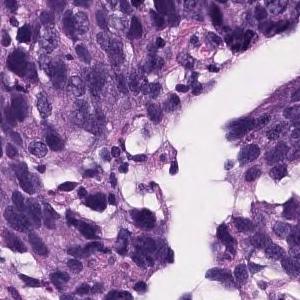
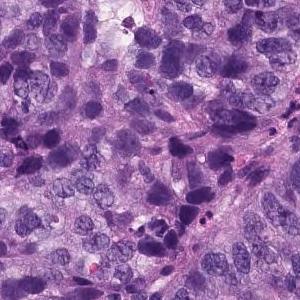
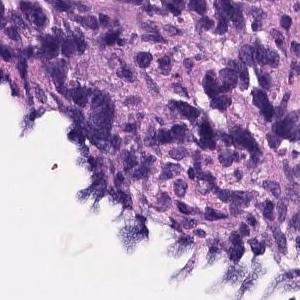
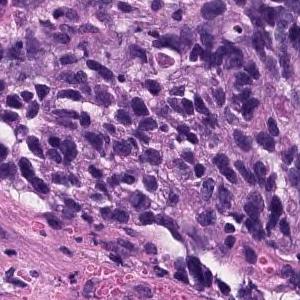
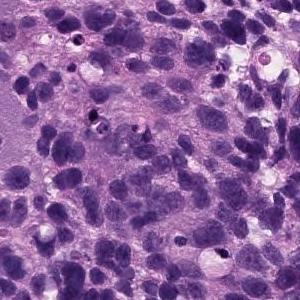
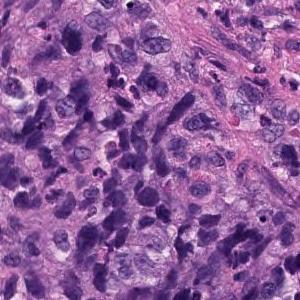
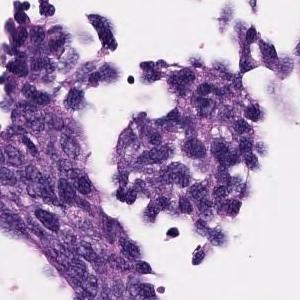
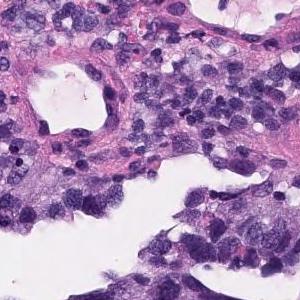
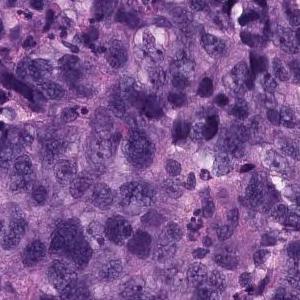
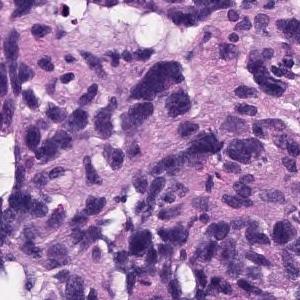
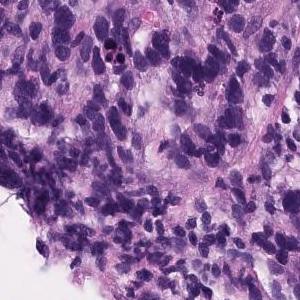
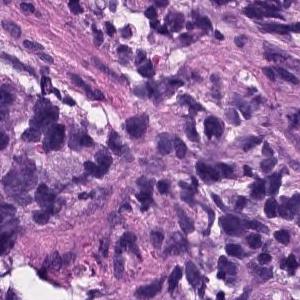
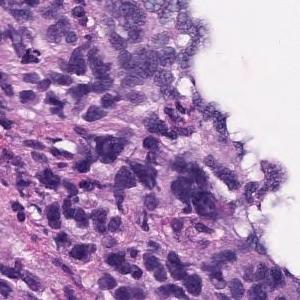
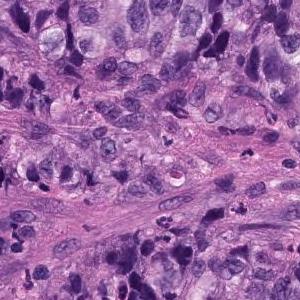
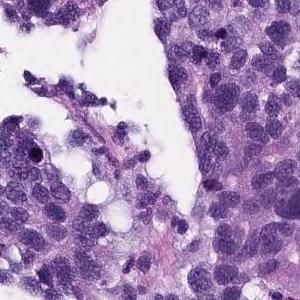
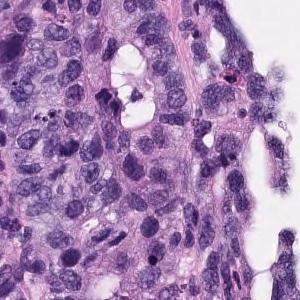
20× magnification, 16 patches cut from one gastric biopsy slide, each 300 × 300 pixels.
Pathology report for the slide these tiles were cut from. What the report and the diagnosis say applies to the whole slide; these tiles may miss some of the features named and may include tissue that is not tumor.
Atypical l cells with atypical nuclei under the mucosa growing in isolation and scattered. Poorly differentiated adenocarcinoma (poorly differentiated adenocarcinoma, non-solid type)
Histologic type: Poorly differentiated adenocarcinoma, non-solid type.
The term "non-solid type" comes from the Japanese Classification of Gastric Carcinoma.
